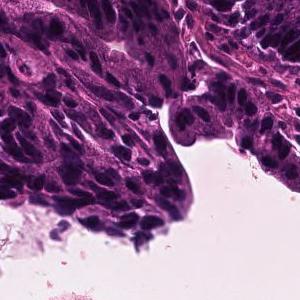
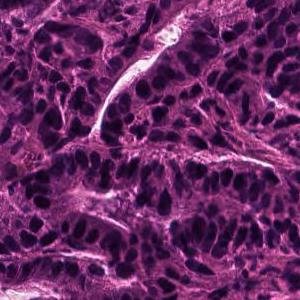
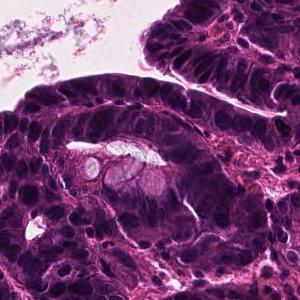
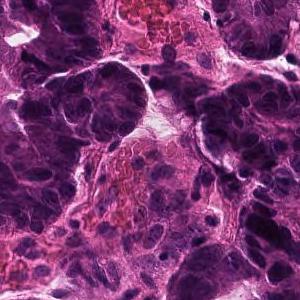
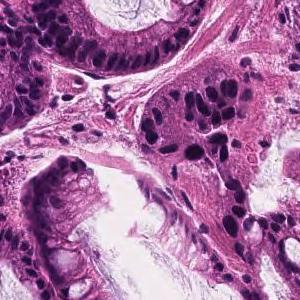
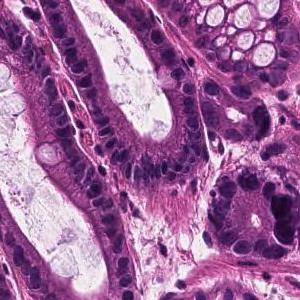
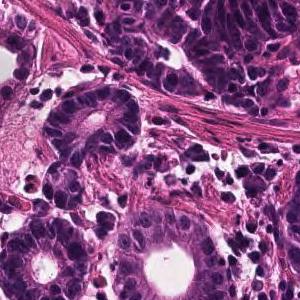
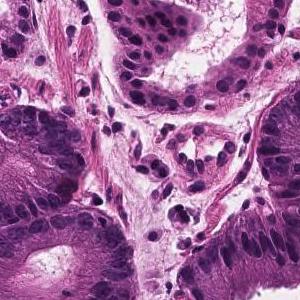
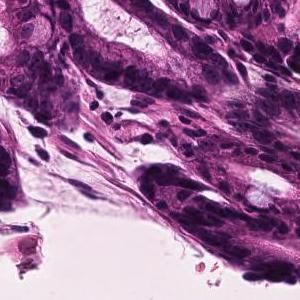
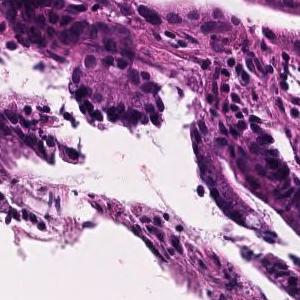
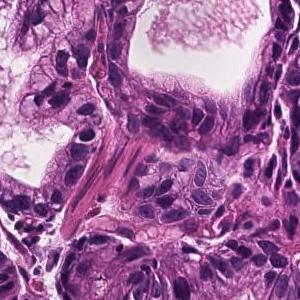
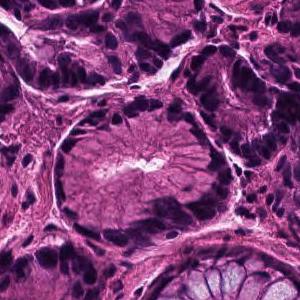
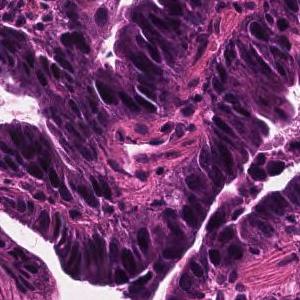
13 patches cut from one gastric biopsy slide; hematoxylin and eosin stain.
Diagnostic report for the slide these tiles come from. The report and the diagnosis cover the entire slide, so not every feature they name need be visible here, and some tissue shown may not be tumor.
In the superficial epithelium, tumor tissue that invades by forming medium-sized to small, irregular ducts is observed. Well differentiated tubular adenocarcinoma.
